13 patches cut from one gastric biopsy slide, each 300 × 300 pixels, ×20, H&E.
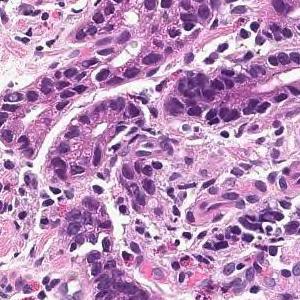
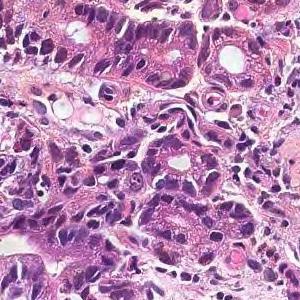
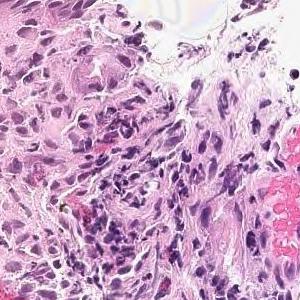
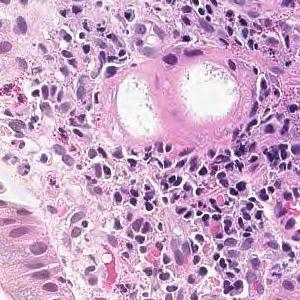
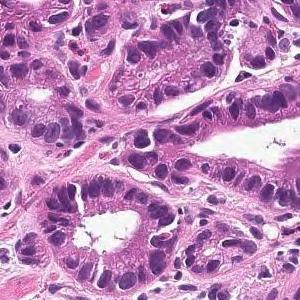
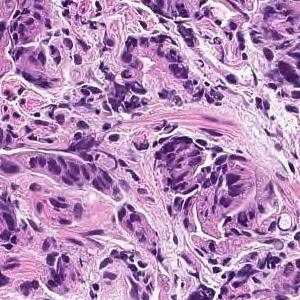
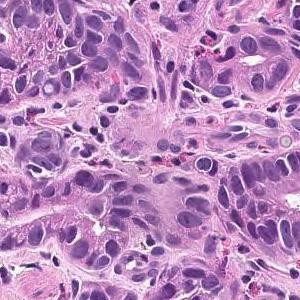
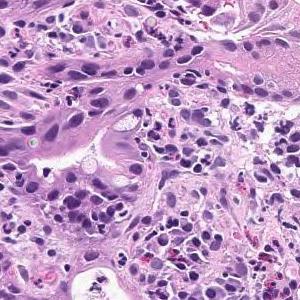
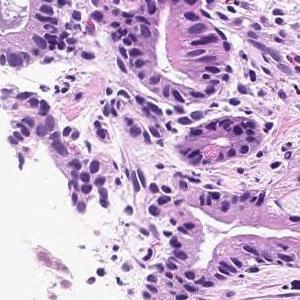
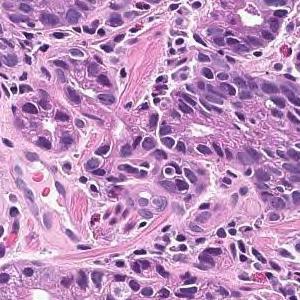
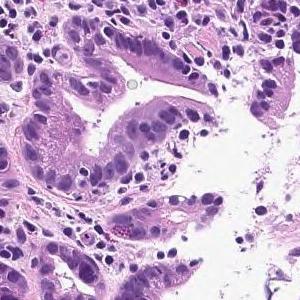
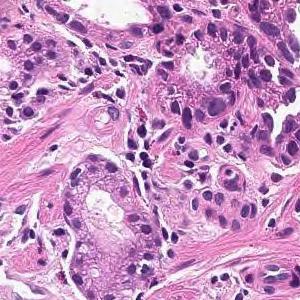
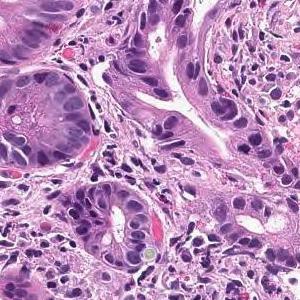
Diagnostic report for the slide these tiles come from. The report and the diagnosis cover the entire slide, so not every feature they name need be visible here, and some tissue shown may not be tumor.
In the superficial epithelium, tumor tissue that invades by forming medium-sized to small, irregular ducts is observed. moderately differentiated tubular adenocarcinoma.
